7 tiles cut from one stomach biopsy slide; 20× magnification; H&E.
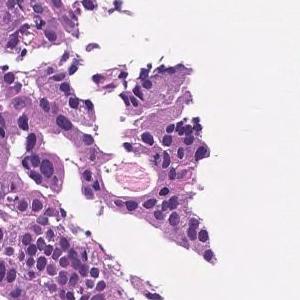
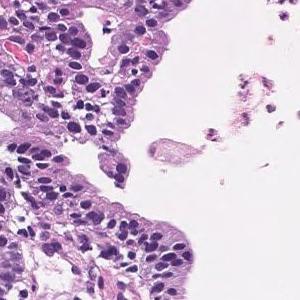
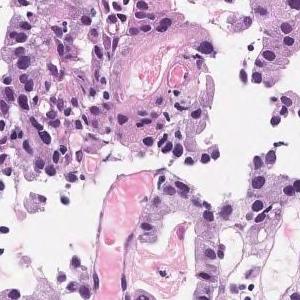
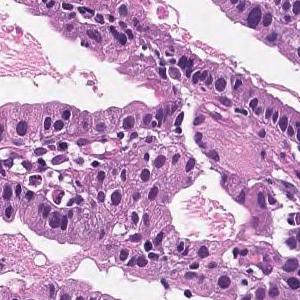
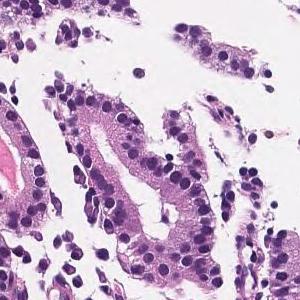
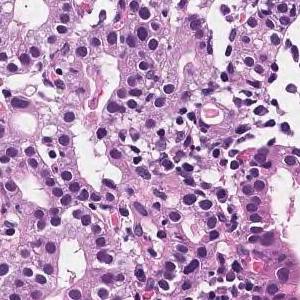
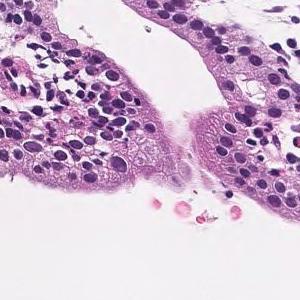
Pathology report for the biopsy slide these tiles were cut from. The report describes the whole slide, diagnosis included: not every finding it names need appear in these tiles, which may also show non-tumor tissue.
Medium to small, irregular glandular ducts are formed in the superficial epithelium, and in some cases, the glandular ducts are fused to show solid alveolar lesions and infiltrating tumor tissue is observed. Moderately to poorly differentiated adenocarcinoma.
